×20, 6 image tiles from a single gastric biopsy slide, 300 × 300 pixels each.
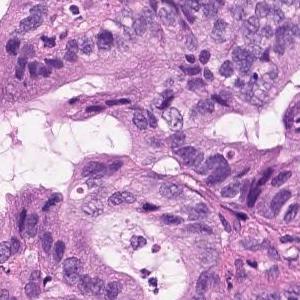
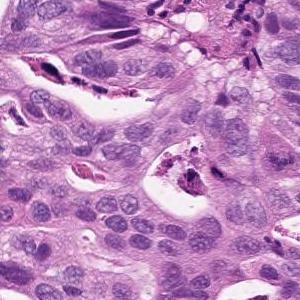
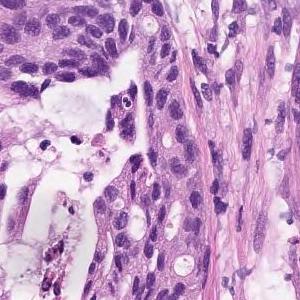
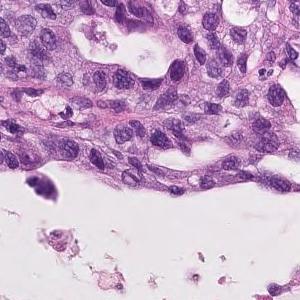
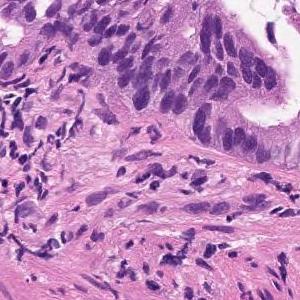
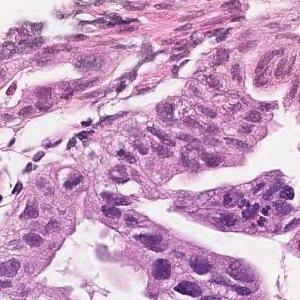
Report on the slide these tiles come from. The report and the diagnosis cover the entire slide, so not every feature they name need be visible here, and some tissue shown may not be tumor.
Atypical epithelium forming papillary or sieving ducts and infiltrating growth is observed. Papillary adenocarcinoma.
